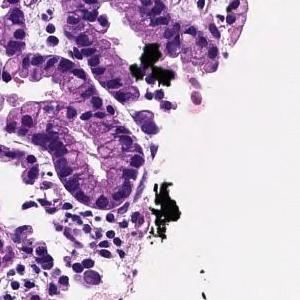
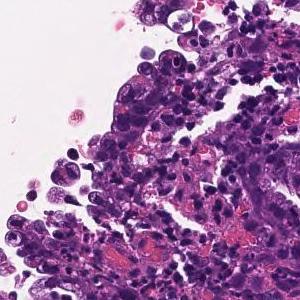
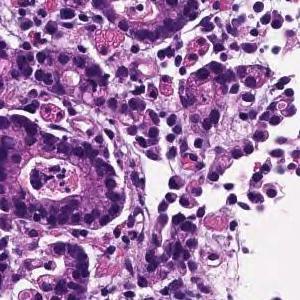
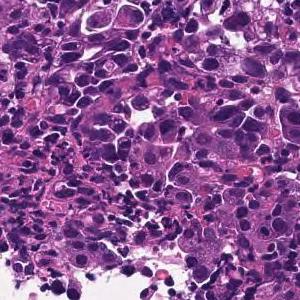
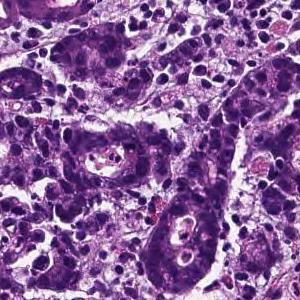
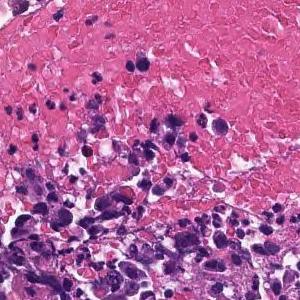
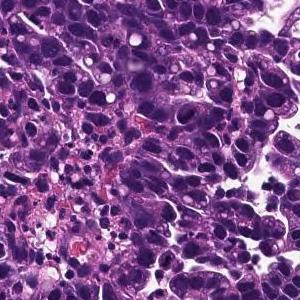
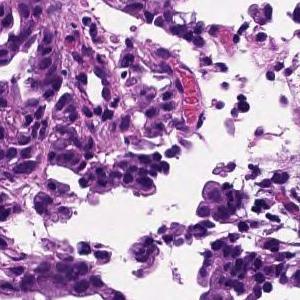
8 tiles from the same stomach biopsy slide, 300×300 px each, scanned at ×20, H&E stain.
The pathologist's report on the biopsy slide these tiles were taken from. The report and the diagnosis describe the slide as a whole, so these tiles may not show every feature named and may include non-tumor tissue.
In the superficial epithelium, tumor tissue that invades by forming medium-sized to small, irregular ducts is observed. moderately differentiated tubular adenocarcinoma.
